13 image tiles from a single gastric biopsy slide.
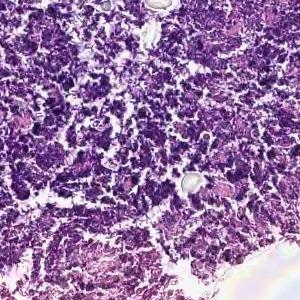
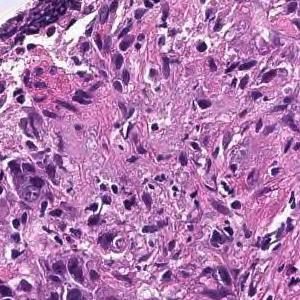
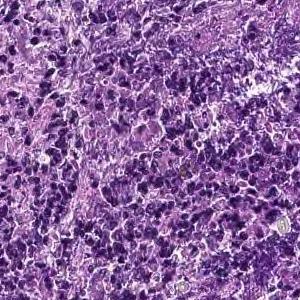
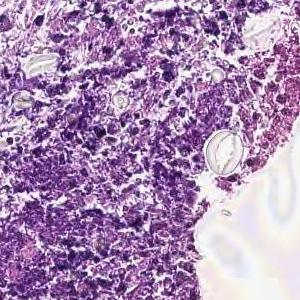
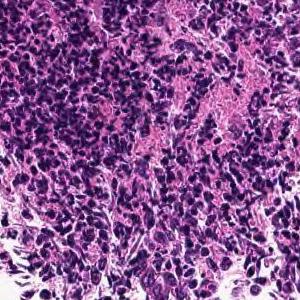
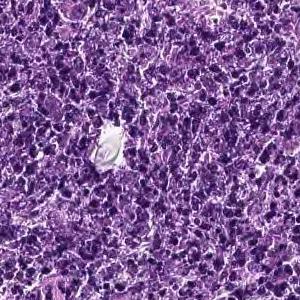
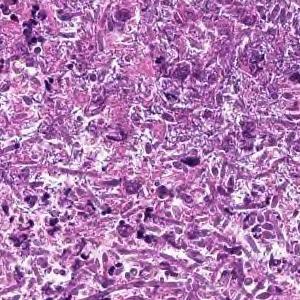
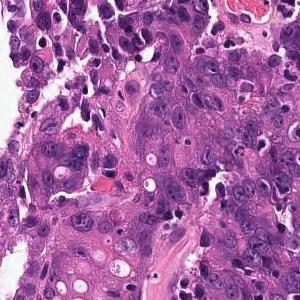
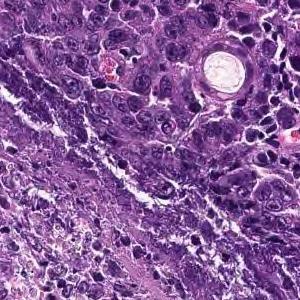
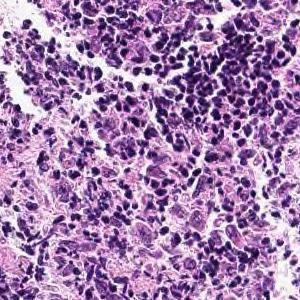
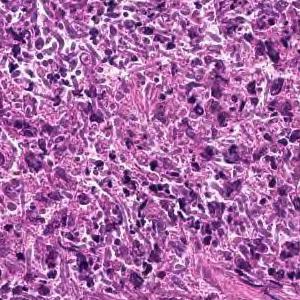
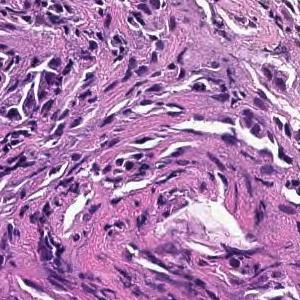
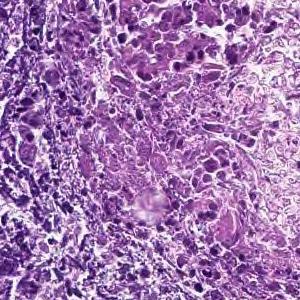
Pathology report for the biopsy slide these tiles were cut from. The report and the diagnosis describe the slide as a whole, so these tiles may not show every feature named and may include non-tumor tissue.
Cancers with polygonal nuclei do not show glandular formation and are densely, in part, cord-like and proliferate. Poorly differentiated adenocarcinoma
Subtype: Poorly differentiated adenocarcinoma, non-solid type.
"Non-solid type" is a category of the Japanese Classification of Gastric Carcinoma.
